H&E · 20× magnification · 10 tiles from the same stomach biopsy slide.
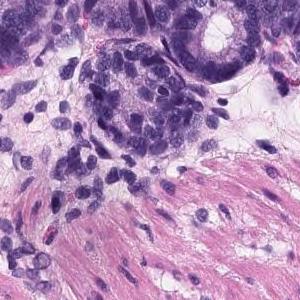
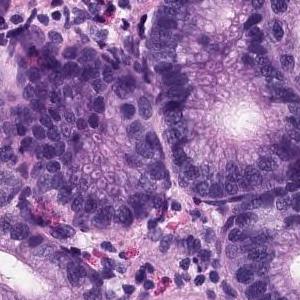
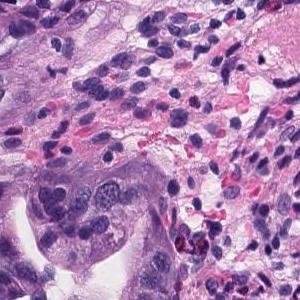
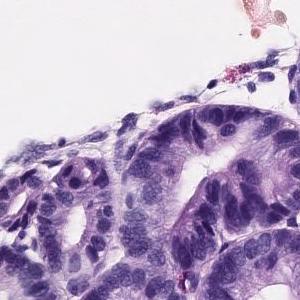
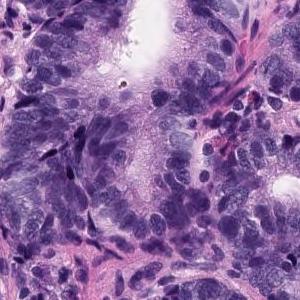
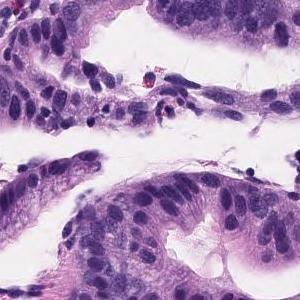
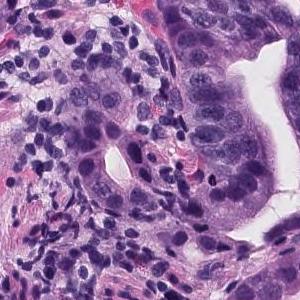
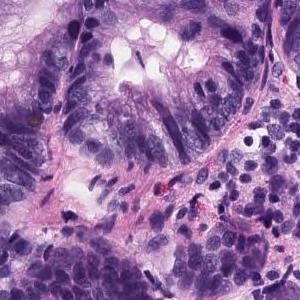
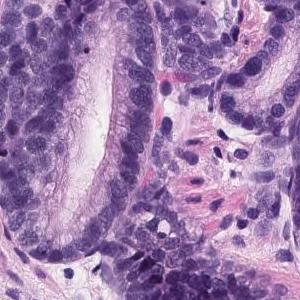
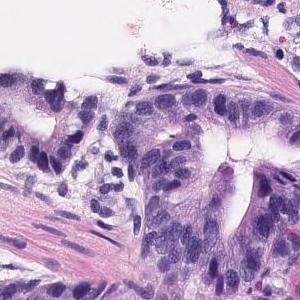
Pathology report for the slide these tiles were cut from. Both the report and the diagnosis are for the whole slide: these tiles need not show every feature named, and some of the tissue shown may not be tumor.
Tumor tissue consisting of medium-sized and irregular ducts is observed infiltrating in the superficial epithelium. Tumor cells are highly columnar, with nuclei aligned basolaterally and polarized. Well differentiated tubular adenocarcinoma.
